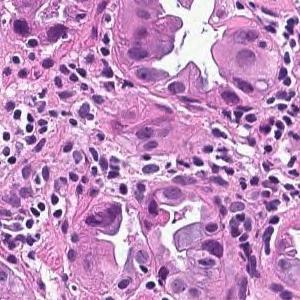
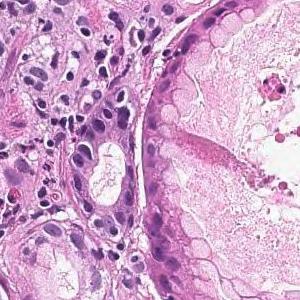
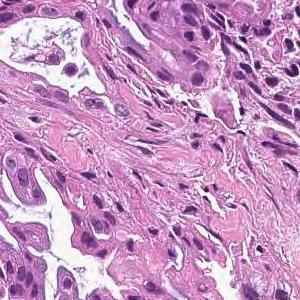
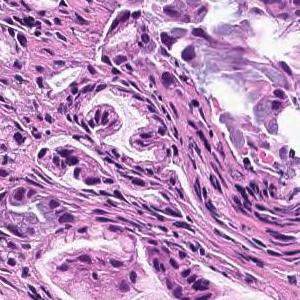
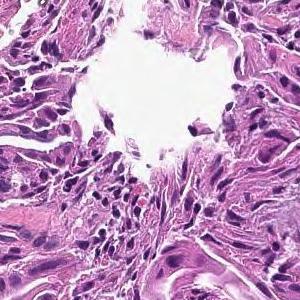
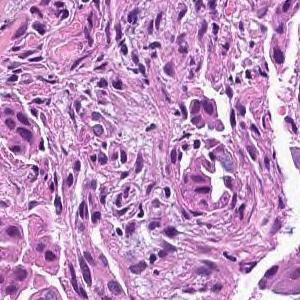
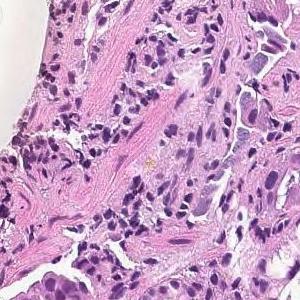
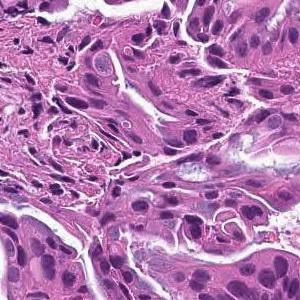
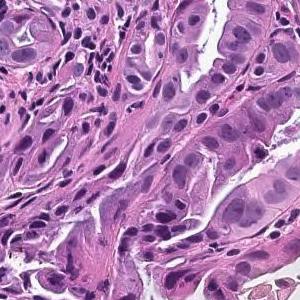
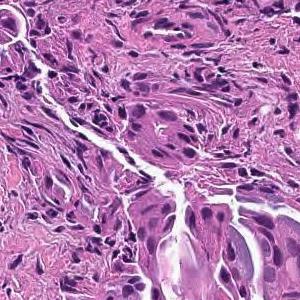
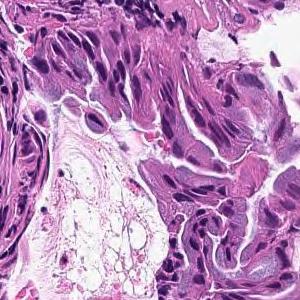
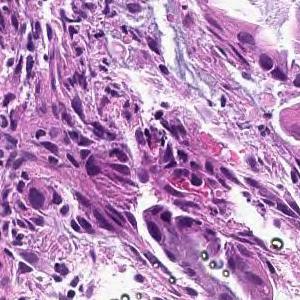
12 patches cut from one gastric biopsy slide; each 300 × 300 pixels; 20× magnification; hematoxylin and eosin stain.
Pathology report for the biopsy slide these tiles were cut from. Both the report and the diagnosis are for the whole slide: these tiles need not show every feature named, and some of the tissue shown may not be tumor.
From the superficial epithelium to the muscularis mucosae, tumor tissue consisting of medium-sized and irregular glandular ducts infiltrating is observed. Well differentiated tubular adenocarcinoma
